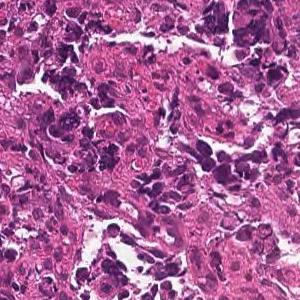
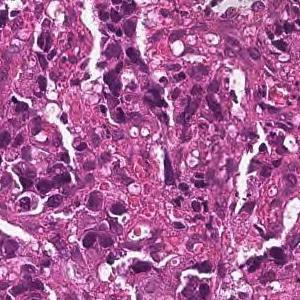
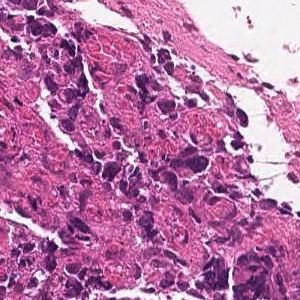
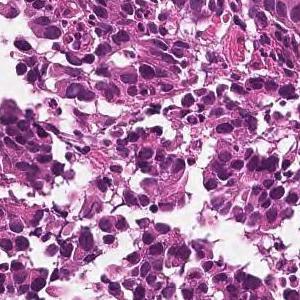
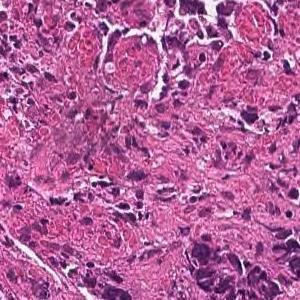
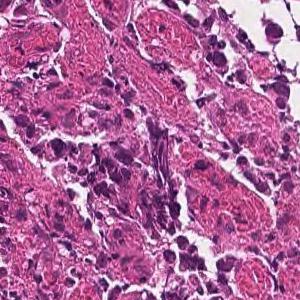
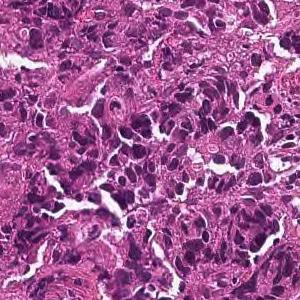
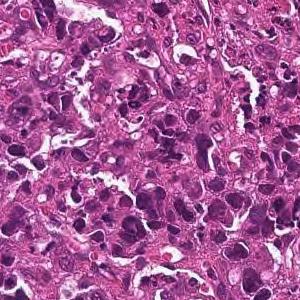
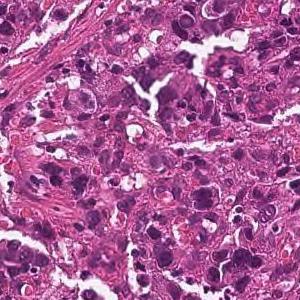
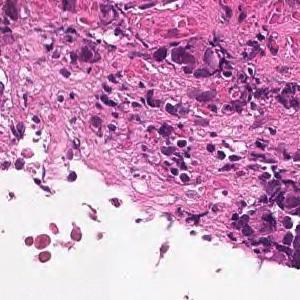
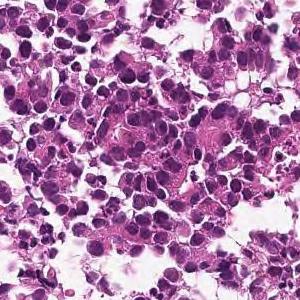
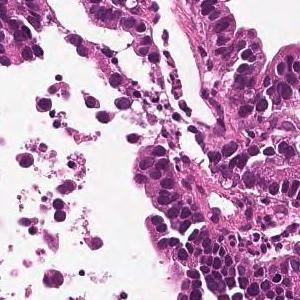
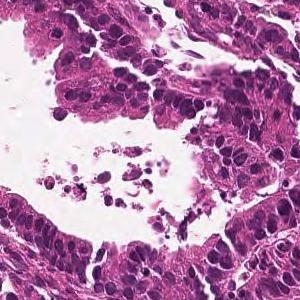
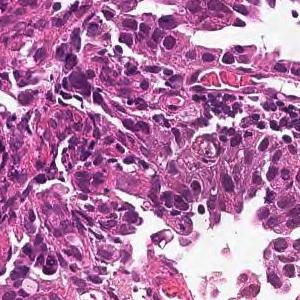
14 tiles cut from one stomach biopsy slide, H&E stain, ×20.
Pathology report for the slide these tiles were cut from. What the report and the diagnosis say applies to the whole slide; these tiles may miss some of the features named and may include tissue that is not tumor.
Tumor tissue consisting of medium-sized, cord-like or irregular glandular infiltration is observed in the superficial epithelium. Poorly differentiated adenocarcinoma, non-solid type or moderately differentiated tubular adenocarcinoma
Classified as moderately to poorly differentiated adenocarcinoma.
"Non-solid type" is a category of the Japanese Classification of Gastric Carcinoma.
